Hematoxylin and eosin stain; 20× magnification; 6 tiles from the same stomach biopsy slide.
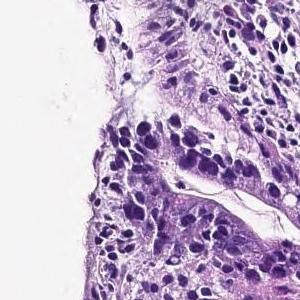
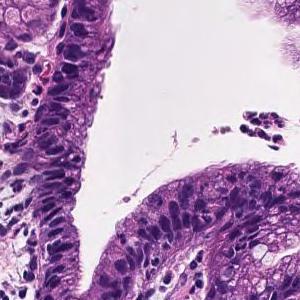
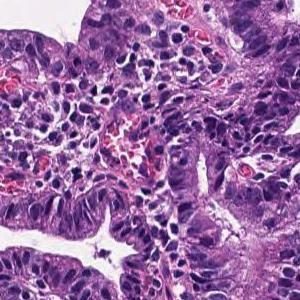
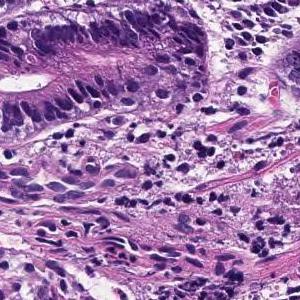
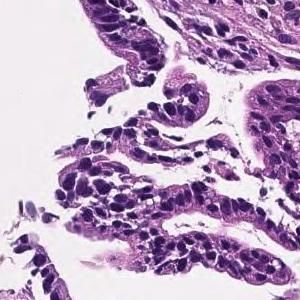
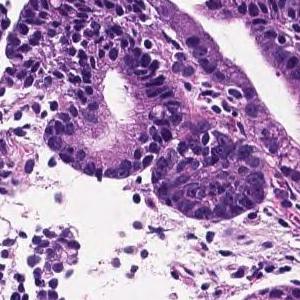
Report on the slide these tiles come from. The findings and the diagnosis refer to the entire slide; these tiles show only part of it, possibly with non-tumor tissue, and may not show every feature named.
From the superficial epithelium to the muscularis mucosae, tumor tissue consisting of medium-sized and irregular glandular ducts infiltrating is observed. Well differentiated tubular adenocarcinoma
